5 patches cut from one gastric biopsy slide; 300 × 300 pixels each; H&E stain.
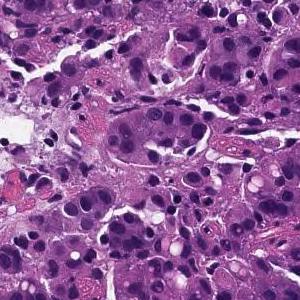
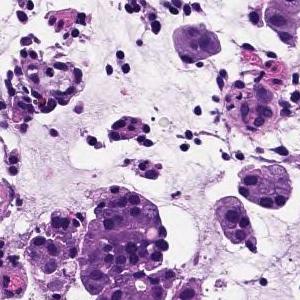
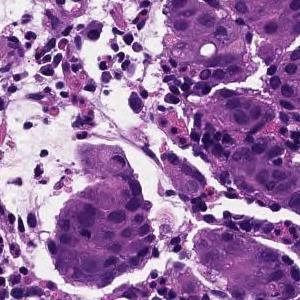
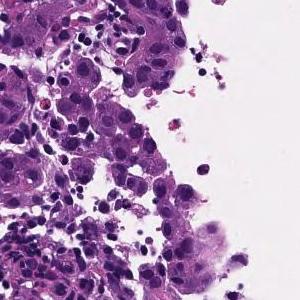
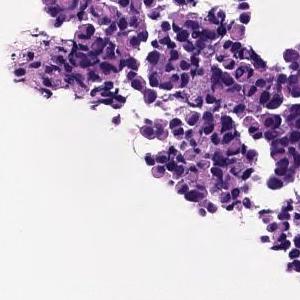
Report on the slide these tiles come from. What the report and the diagnosis say applies to the whole slide; these tiles may miss some of the features named and may include tissue that is not tumor.
The superficial epithelium shows a large sheet-like shape, and some tumor tissue infiltrates with small irregular ducts. Poorly differentiated adenocarcinoma, solid-type
Histologic type: Poorly differentiated adenocarcinoma, solid type (Japanese Classification of Gastric Carcinoma). The WHO 2019 equivalent is tubular adenocarcinoma, poorly differentiated.
